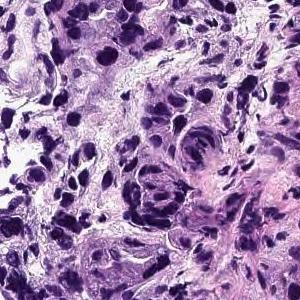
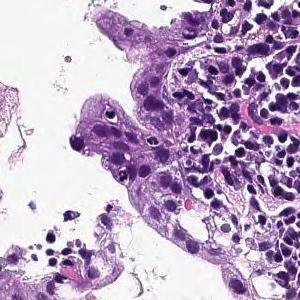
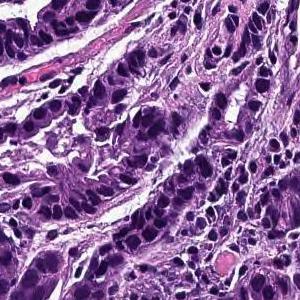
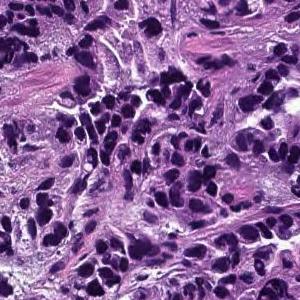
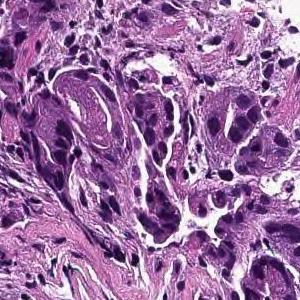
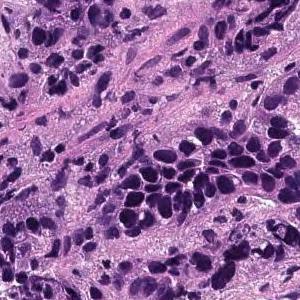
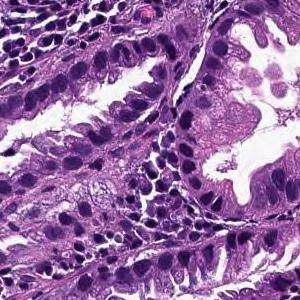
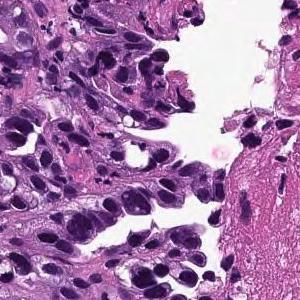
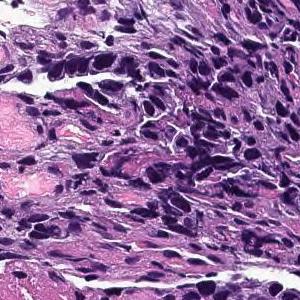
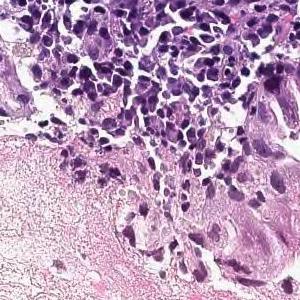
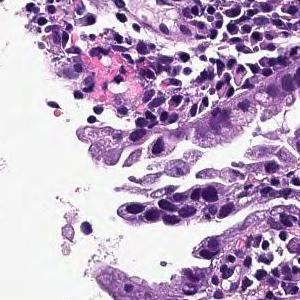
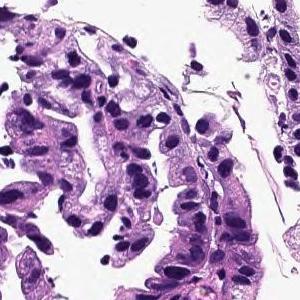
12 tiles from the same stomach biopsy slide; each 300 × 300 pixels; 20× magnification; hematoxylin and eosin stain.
Report on the slide these tiles come from. The report and the diagnosis describe the slide as a whole, so these tiles may not show every feature named and may include non-tumor tissue.
Tumor cells are large, highly columnar, large club-shaped nuclei, and are associated with chromatin aggregation. Papillary adenocarcinoma.
